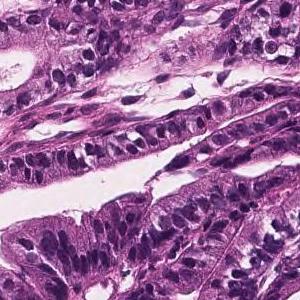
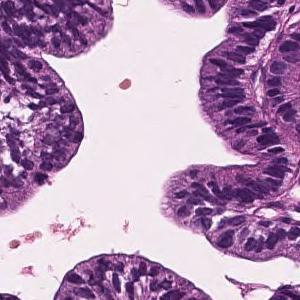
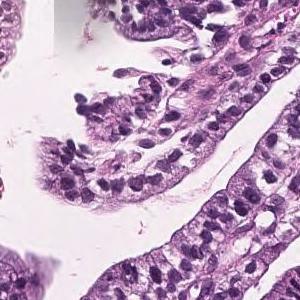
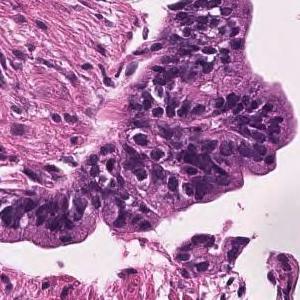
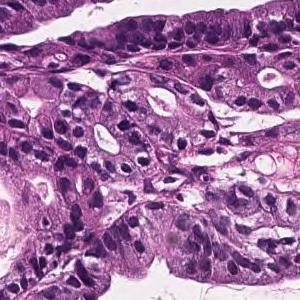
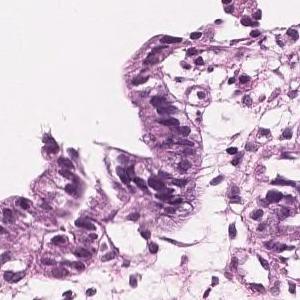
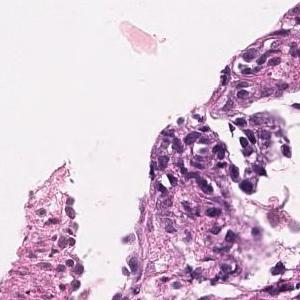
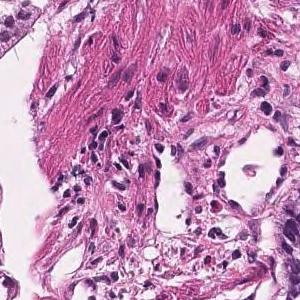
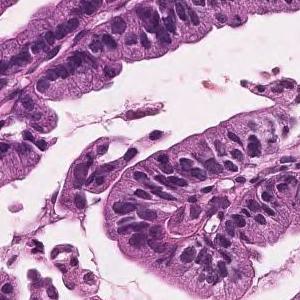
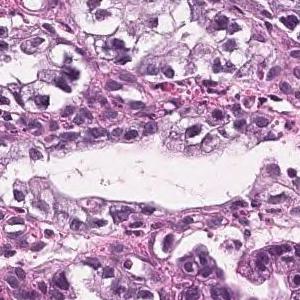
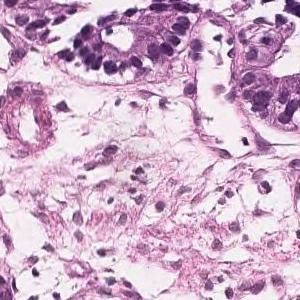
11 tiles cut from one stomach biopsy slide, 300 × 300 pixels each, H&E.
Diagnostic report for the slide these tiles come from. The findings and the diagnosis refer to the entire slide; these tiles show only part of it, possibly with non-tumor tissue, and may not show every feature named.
Tumor cells are large, highly columnar, large club-shaped nuclei, and are associated with chromatin aggregation. Papillary adenocarcinoma.
